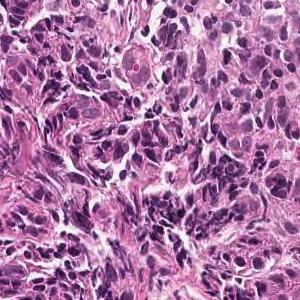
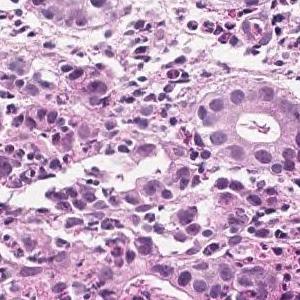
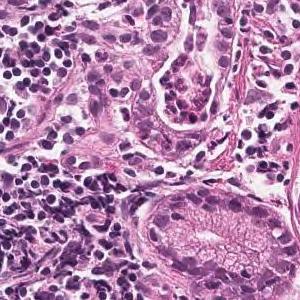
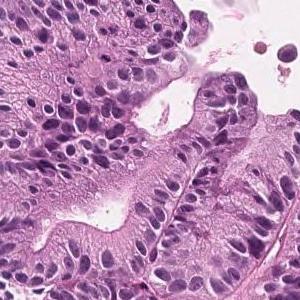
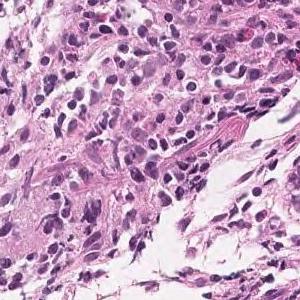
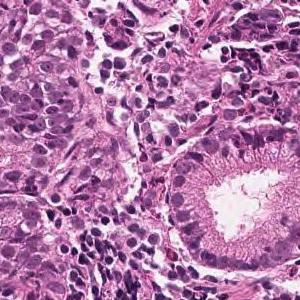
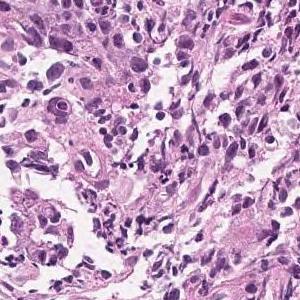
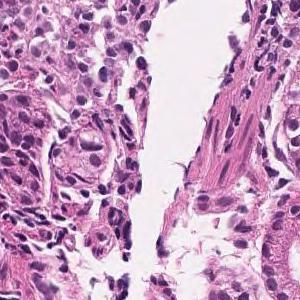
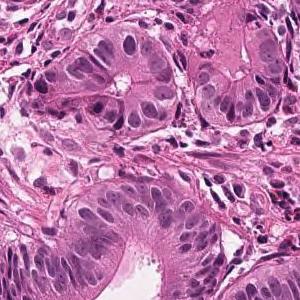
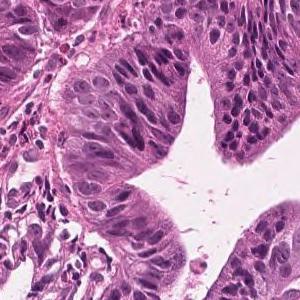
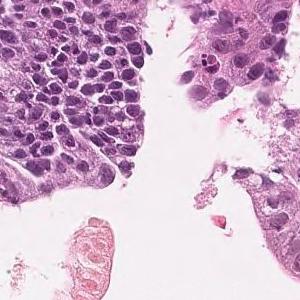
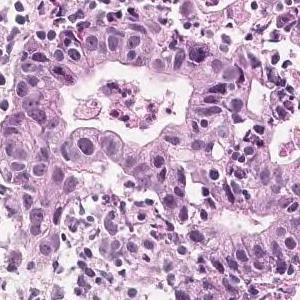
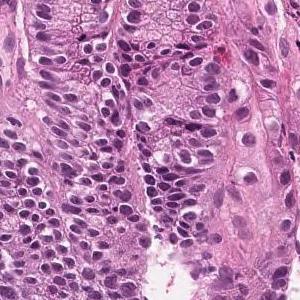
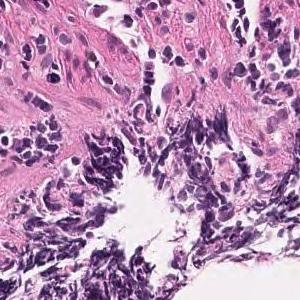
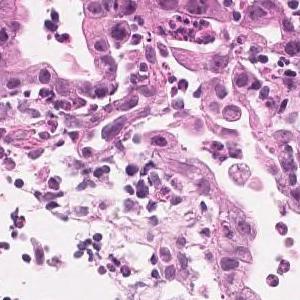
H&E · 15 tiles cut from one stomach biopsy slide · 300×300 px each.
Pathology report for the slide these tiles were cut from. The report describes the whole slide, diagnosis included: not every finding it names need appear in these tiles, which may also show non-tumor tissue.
On the superficial epithelium, tumor tissue consisting of large, irregular glandular ducts partially fused and infiltrated is observed. Well to moderately differentiated tubular adenocarcinoma (well differentiated tubular adenocarcinoma, moderately differentiated tubular adenocarcinoma)
Histological subtype: Well to moderately differentiated tubular adenocarcinoma.
